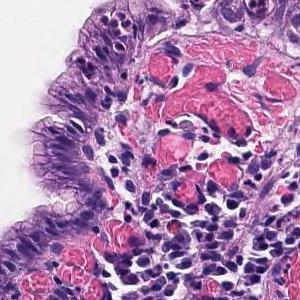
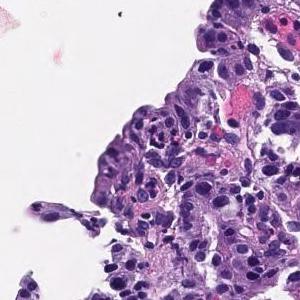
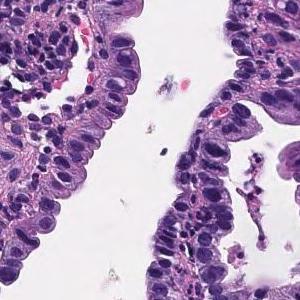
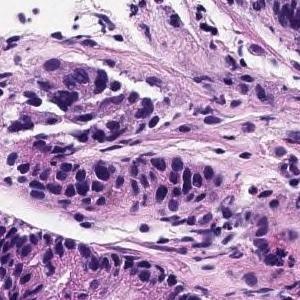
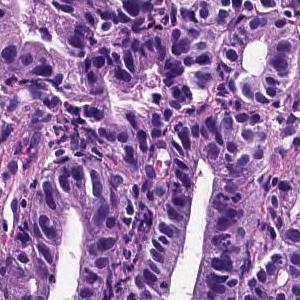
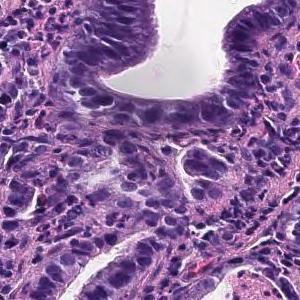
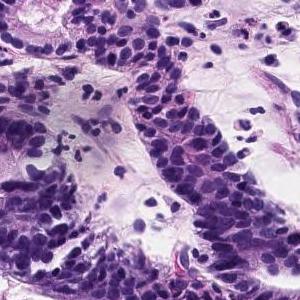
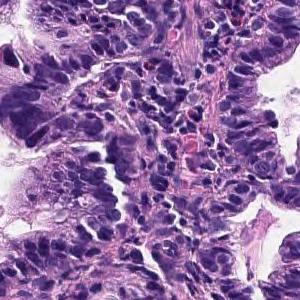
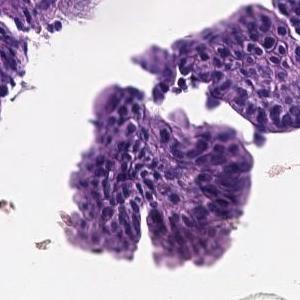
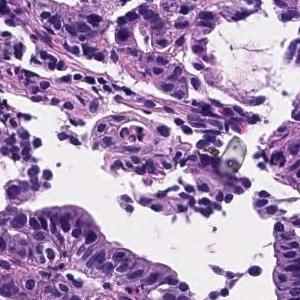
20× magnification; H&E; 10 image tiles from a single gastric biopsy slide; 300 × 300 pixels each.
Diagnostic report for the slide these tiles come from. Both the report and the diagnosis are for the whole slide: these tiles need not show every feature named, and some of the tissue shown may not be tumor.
The superficial tumors shows large papillary structures or large and small ducts and infiltrates. Papillary adenocarcinoma.
